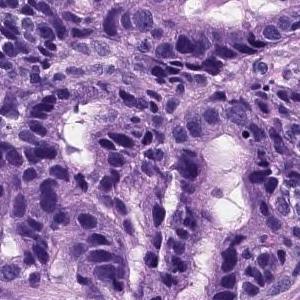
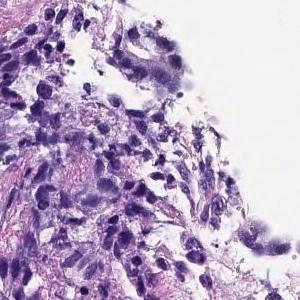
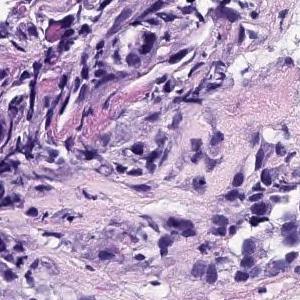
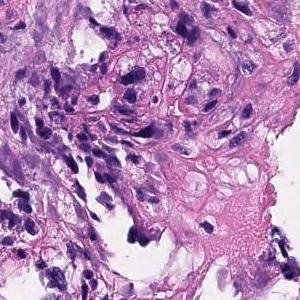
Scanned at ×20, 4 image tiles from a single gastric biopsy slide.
The pathologist's report on the biopsy slide these tiles were taken from. The report and the diagnosis describe the slide as a whole, so these tiles may not show every feature named and may include non-tumor tissue.
In the superficial epithelium, tumor tissue that invades by forming medium-sized to small, irregular ducts is observed. Tumor cells are columnar or cuboidal in shape. Moderately differentiated adenocarcinoma.
Histological subtype: Moderately differentiated tubular adenocarcinoma.
